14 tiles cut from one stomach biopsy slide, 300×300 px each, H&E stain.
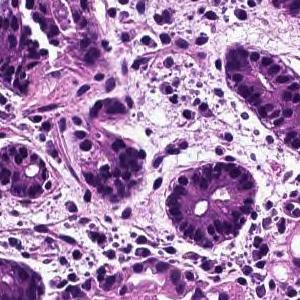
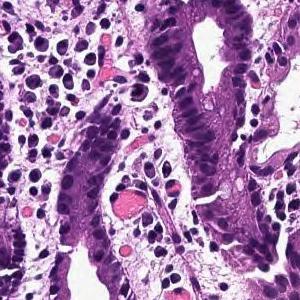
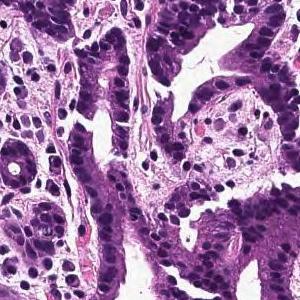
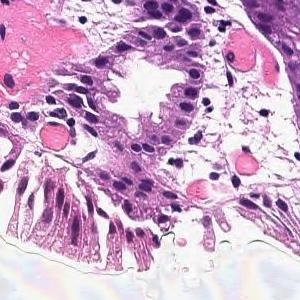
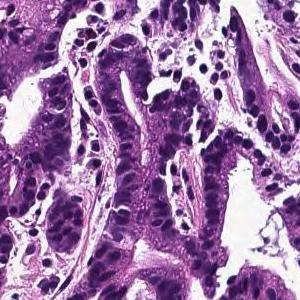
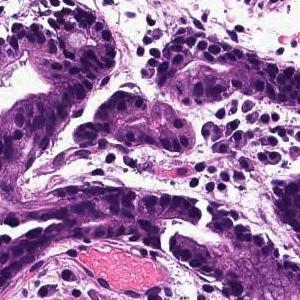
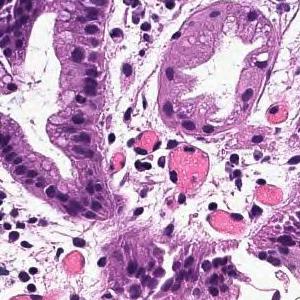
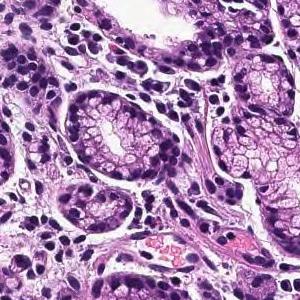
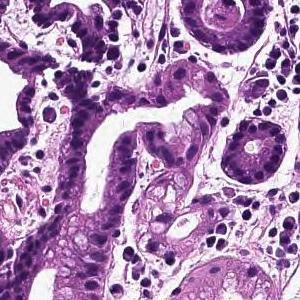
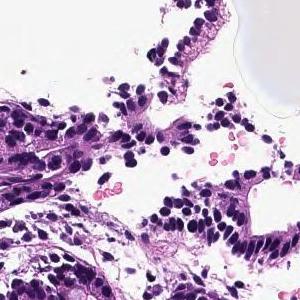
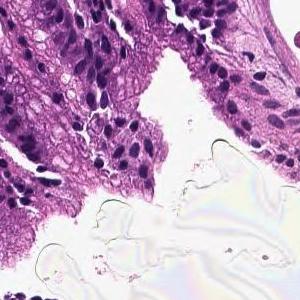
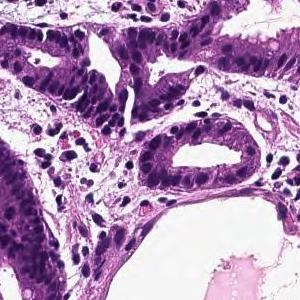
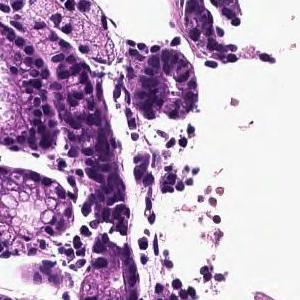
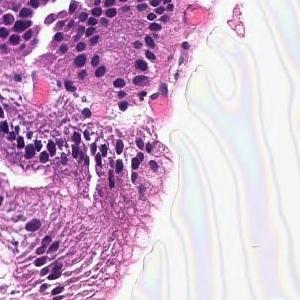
The pathologist's report on the biopsy slide these tiles were taken from. The findings and the diagnosis refer to the entire slide; these tiles show only part of it, possibly with non-tumor tissue, and may not show every feature named.
In the superficial epithelium, tumor tissue that invades by forming medium-sized to small, irregular ducts is observed. moderately differentiated tubular adenocarcinoma.
